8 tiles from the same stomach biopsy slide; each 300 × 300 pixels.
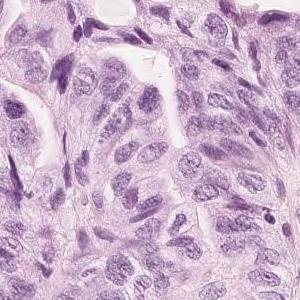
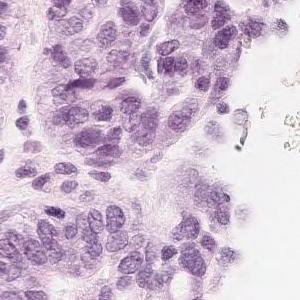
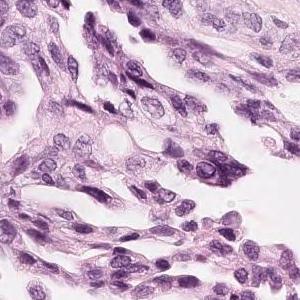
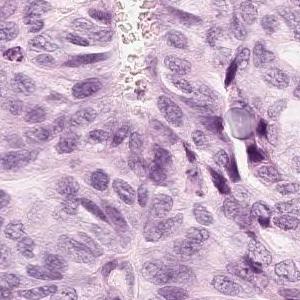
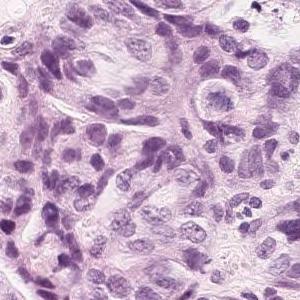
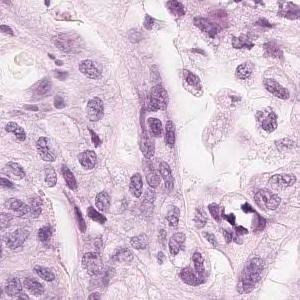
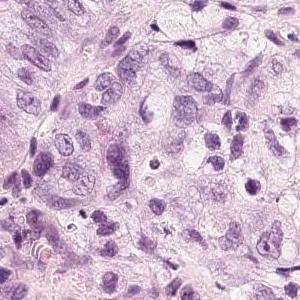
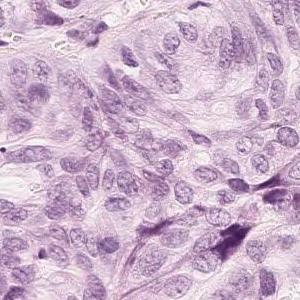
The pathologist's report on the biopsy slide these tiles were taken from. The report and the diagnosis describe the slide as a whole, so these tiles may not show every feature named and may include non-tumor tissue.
Tumor tissue in which medium-sized atypical epithelial cells with a large N/C ratio grow densely while becoming alveolar to cord-like with duct formation is observed. moderately differentiated tubular adenocarcinoma
